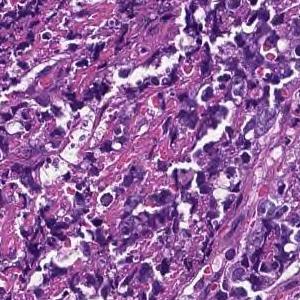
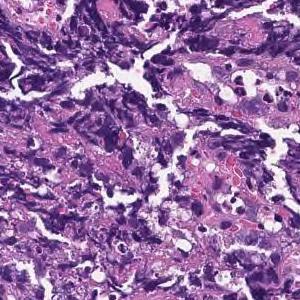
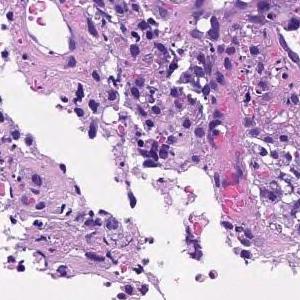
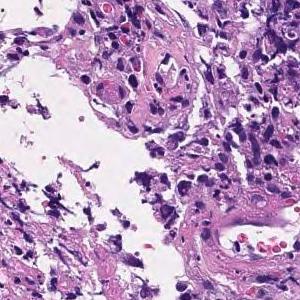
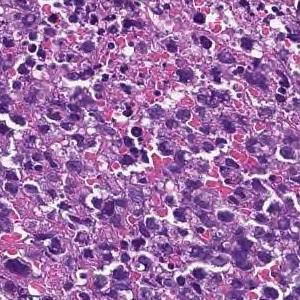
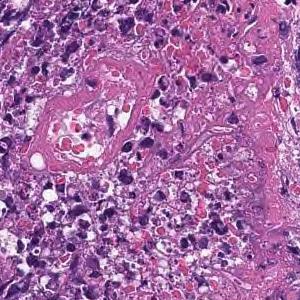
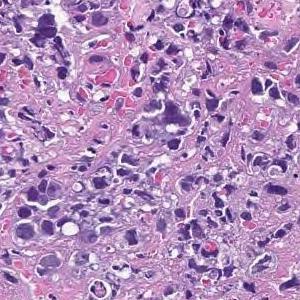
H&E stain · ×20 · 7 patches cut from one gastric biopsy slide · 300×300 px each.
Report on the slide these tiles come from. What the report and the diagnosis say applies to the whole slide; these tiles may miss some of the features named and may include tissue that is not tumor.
Most are composed of coagulative necrotic tissue, but some show a large sheet-like shape, and some show tumor tissue infiltrating with a small cord-like structure. Poorly differentiated adenocarcinoma, solid-type
Subtype: Poorly differentiated adenocarcinoma, solid type (Japanese Classification of Gastric Carcinoma). The WHO 2019 equivalent is tubular adenocarcinoma, poorly differentiated.
